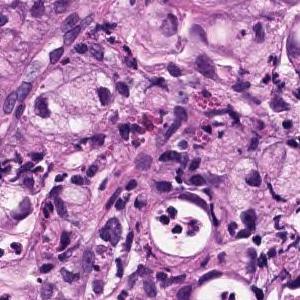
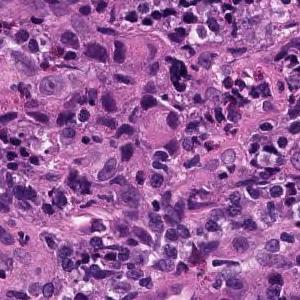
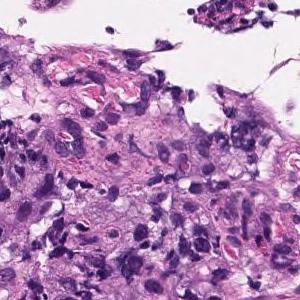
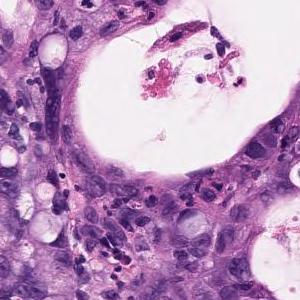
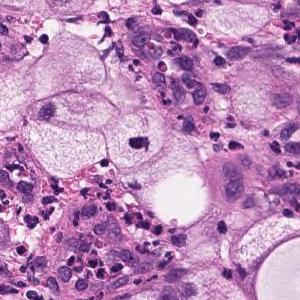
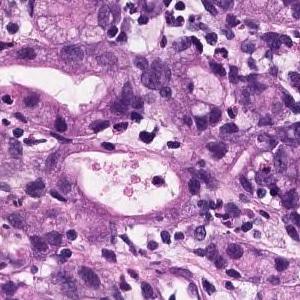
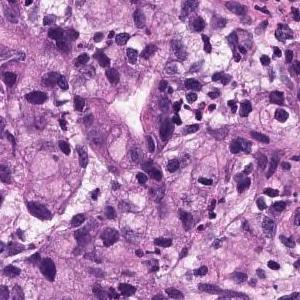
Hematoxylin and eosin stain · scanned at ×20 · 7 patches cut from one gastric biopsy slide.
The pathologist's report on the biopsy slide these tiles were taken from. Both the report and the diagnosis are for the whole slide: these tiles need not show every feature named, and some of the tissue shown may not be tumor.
Atypical epithelium forms irregularly fused gland ducts and proliferates. Poorly differentiated adenocarcinoma.
Classified as poorly differentiated adenocarcinoma, non-solid type.
The non-solid type named here is a Japanese Classification of Gastric Carcinoma category.
